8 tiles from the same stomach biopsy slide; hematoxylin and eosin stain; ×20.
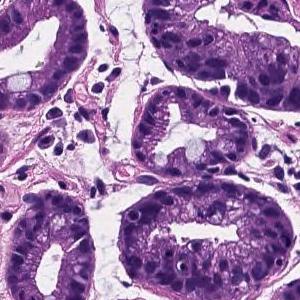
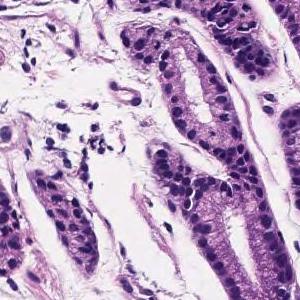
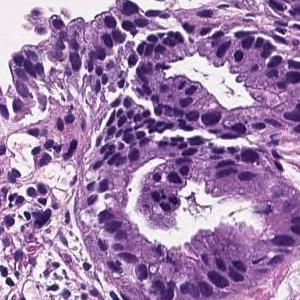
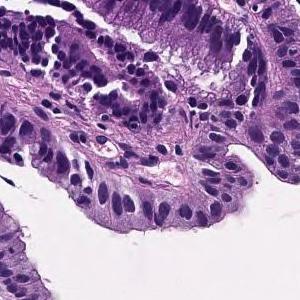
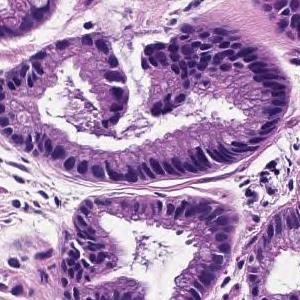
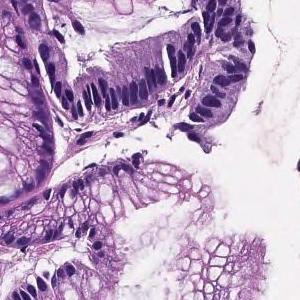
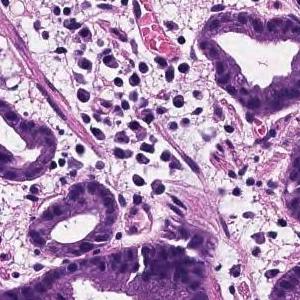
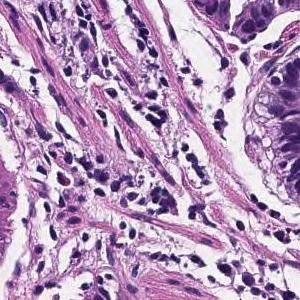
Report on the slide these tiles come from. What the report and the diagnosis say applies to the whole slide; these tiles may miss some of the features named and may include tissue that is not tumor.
Tumor cells are large, highly columnar, large club-shaped nuclei, and are associated with chromatin aggregation. Papillary adenocarcinoma.
